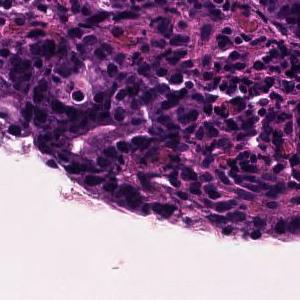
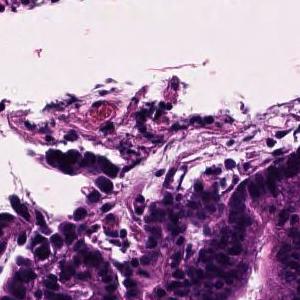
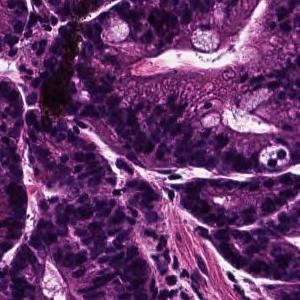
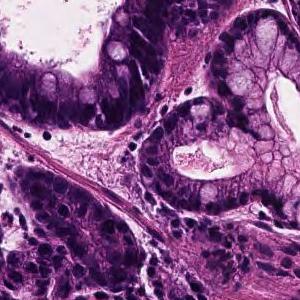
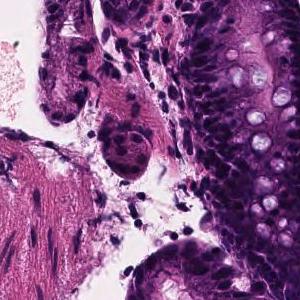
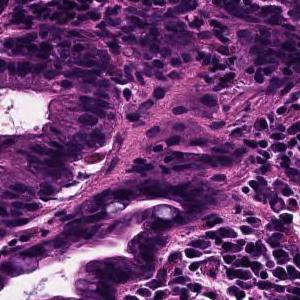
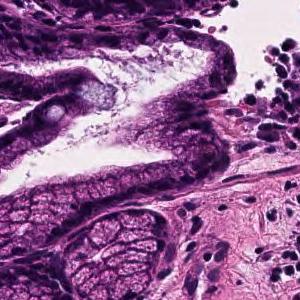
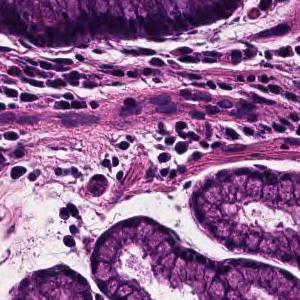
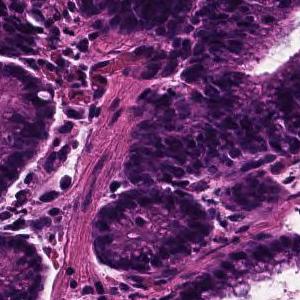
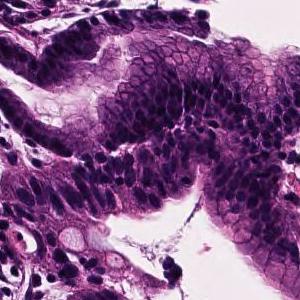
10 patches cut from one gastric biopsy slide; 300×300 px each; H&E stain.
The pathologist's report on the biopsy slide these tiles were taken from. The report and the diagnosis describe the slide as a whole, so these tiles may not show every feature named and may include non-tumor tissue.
In the superficial epithelium, tumor tissue infiltrated by partial fusion of medium-sized to small, irregular glandular ducts is observed. moderately differentiated tubular adenocarcinoma
